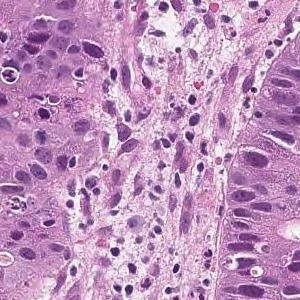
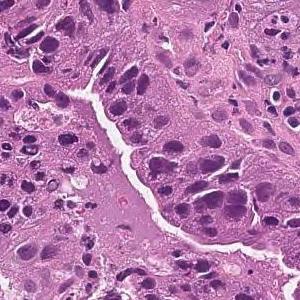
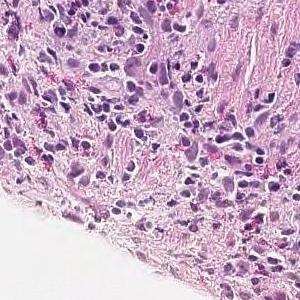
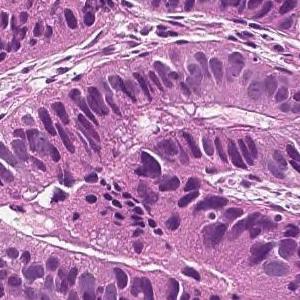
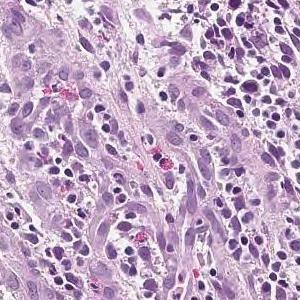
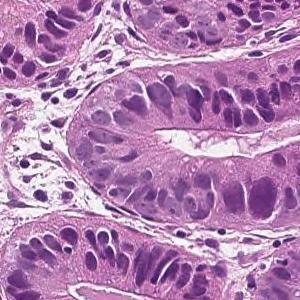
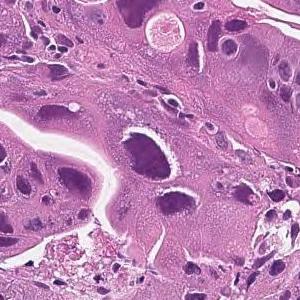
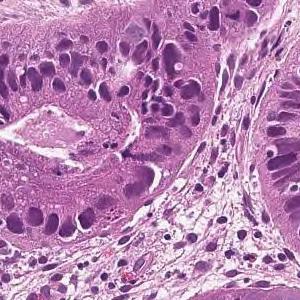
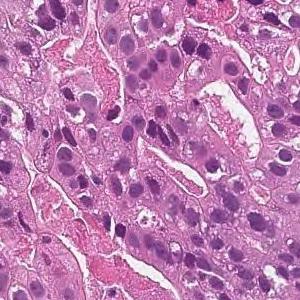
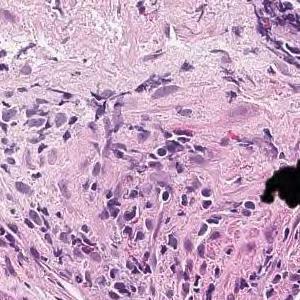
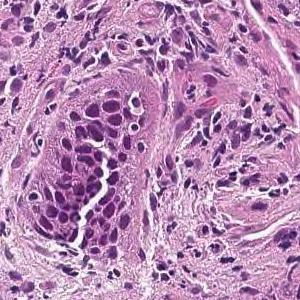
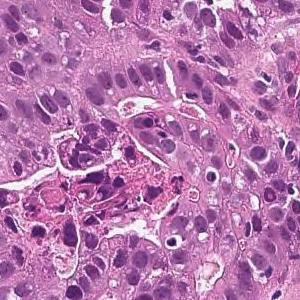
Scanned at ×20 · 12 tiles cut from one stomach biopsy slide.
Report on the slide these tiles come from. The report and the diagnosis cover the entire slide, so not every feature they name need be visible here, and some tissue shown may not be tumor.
In the superficial epithelium, tumor tissue that invades by forming medium-sized to small, irregular ducts is observed. moderately differentiated tubular adenocarcinoma.
